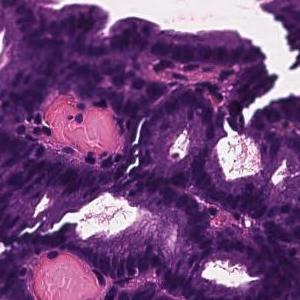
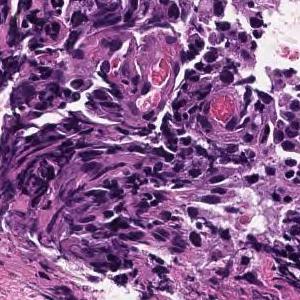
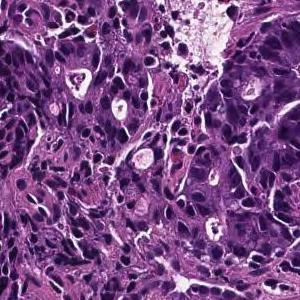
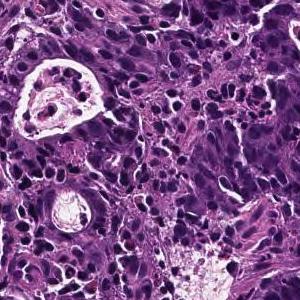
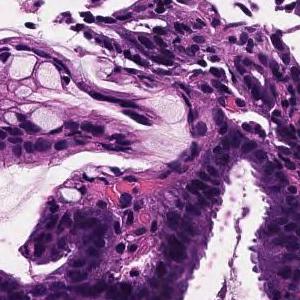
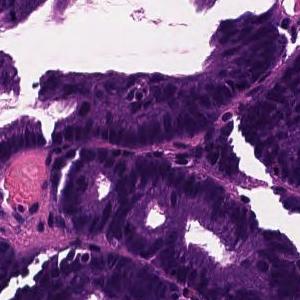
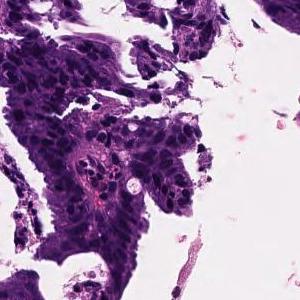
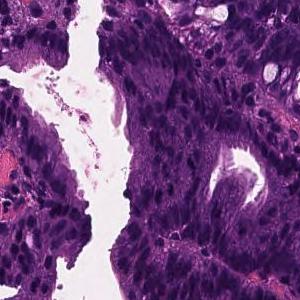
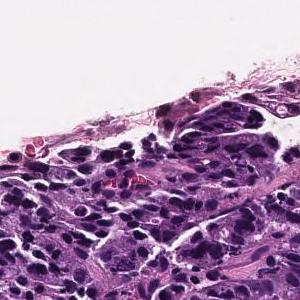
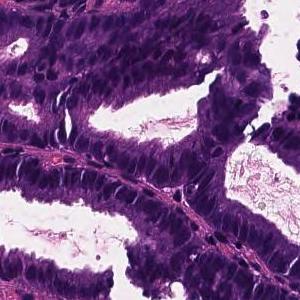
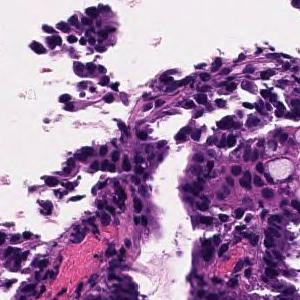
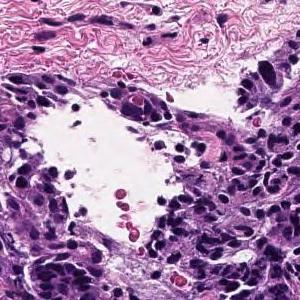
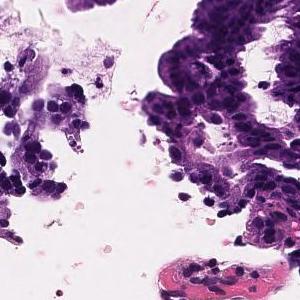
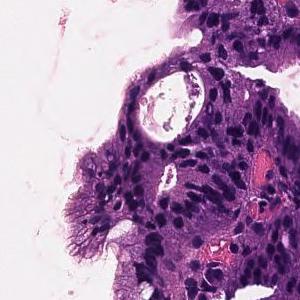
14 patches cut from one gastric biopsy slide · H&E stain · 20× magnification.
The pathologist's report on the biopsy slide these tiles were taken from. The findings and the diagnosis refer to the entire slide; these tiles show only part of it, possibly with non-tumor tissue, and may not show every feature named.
In the superficial epithelium, tumor tissue that invades by forming medium-sized to small, irregular ducts is observed. moderately differentiated tubular adenocarcinoma.
